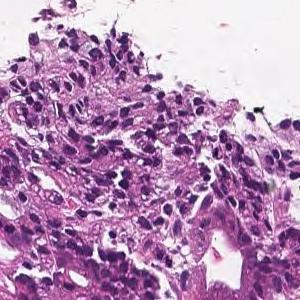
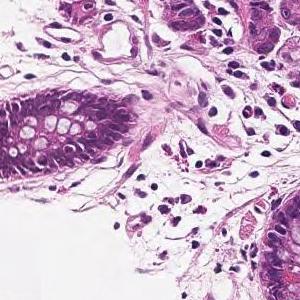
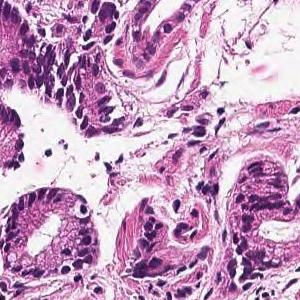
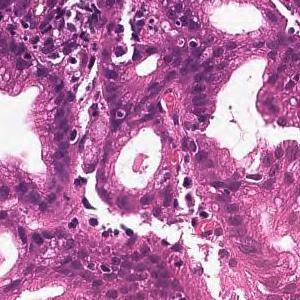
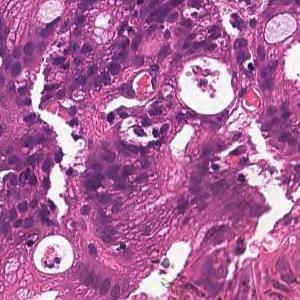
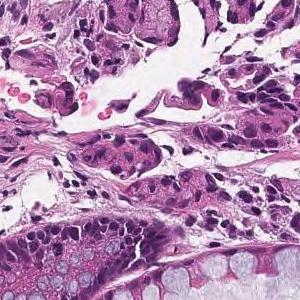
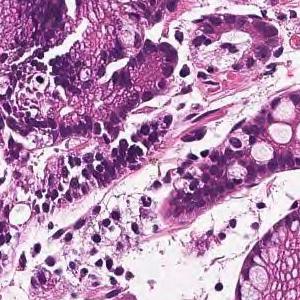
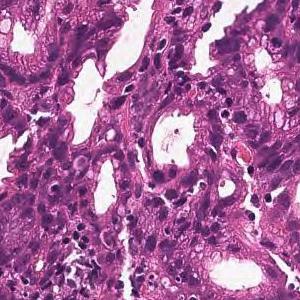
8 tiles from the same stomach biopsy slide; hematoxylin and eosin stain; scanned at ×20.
Pathology report for the biopsy slide these tiles were cut from. The findings and the diagnosis refer to the entire slide; these tiles show only part of it, possibly with non-tumor tissue, and may not show every feature named.
In the superficial epithelium, tumor tissue that invades by forming medium-sized to small, irregular ducts is observed. moderately differentiated tubular adenocarcinoma.
